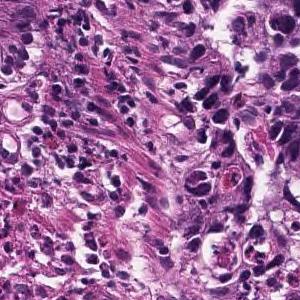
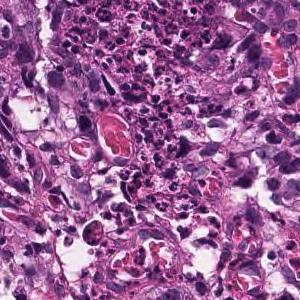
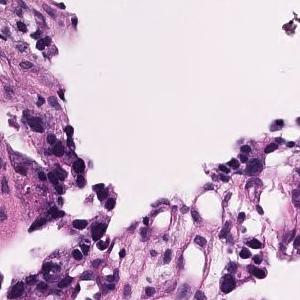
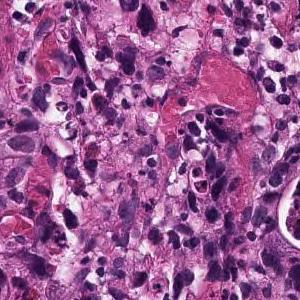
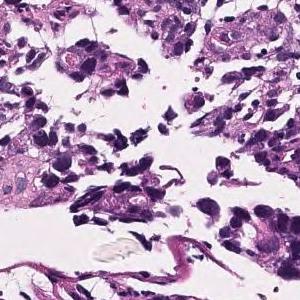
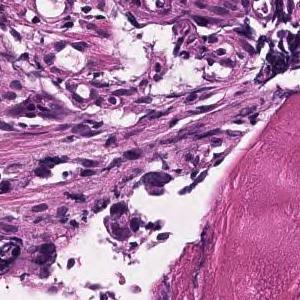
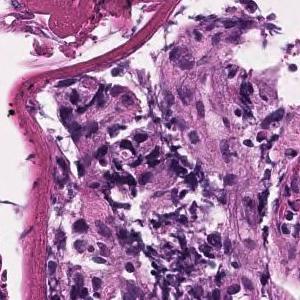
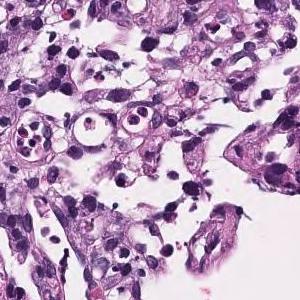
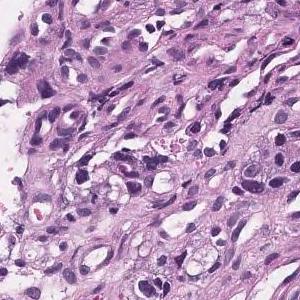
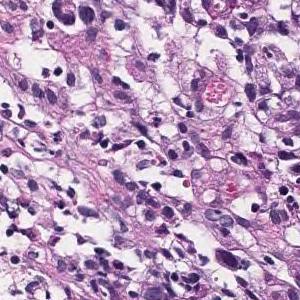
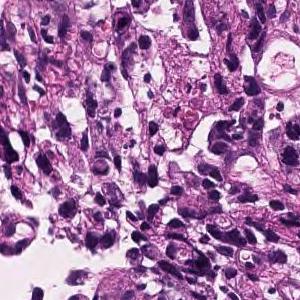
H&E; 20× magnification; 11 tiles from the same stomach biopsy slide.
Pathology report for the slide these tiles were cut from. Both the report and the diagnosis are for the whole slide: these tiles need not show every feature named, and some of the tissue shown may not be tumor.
Tumor tissue consisting of medium-sized, cord-like or irregular glandular infiltration is observed in the superficial epithelium. Poorly differentiated adenocarcinoma, non-solid type or moderately differentiated tubular adenocarcinoma
The term "non-solid type" comes from the Japanese Classification of Gastric Carcinoma.
